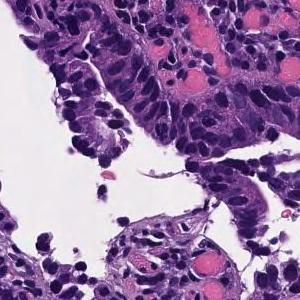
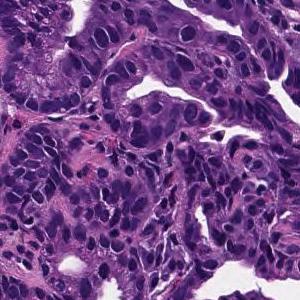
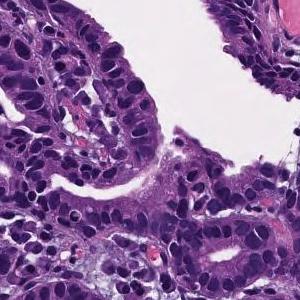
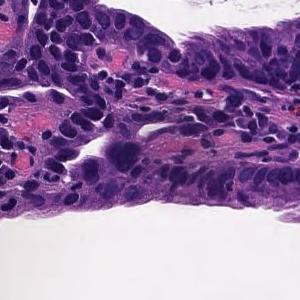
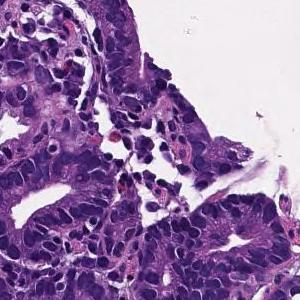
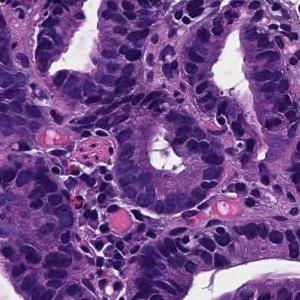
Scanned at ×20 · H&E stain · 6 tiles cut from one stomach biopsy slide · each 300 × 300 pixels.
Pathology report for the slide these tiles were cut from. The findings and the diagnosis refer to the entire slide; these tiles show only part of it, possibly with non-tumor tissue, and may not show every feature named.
From the superficial epithelium to the muscularis mucosae, tumor tissue consisting of medium-sized and irregular glandular ducts infiltrating is observed. Well differentiated tubular adenocarcinoma
